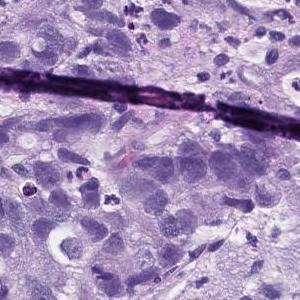
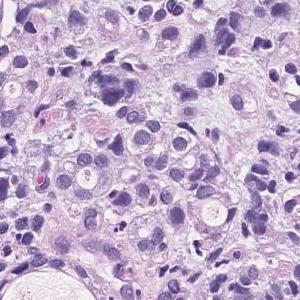
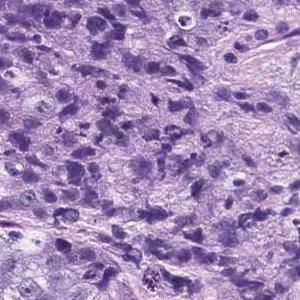
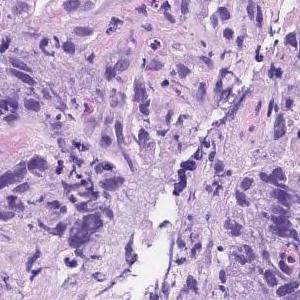
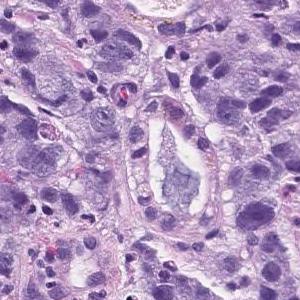
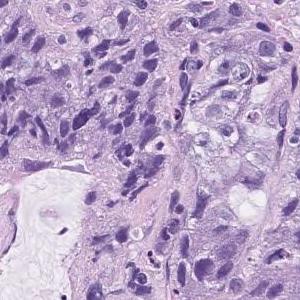
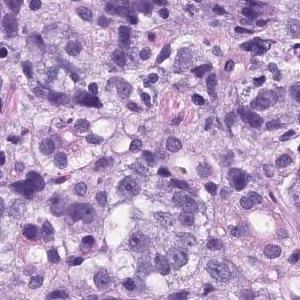
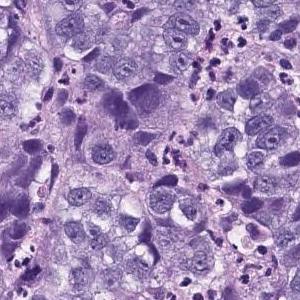
H&E stain · 8 tiles from the same stomach biopsy slide · 300×300 px each.
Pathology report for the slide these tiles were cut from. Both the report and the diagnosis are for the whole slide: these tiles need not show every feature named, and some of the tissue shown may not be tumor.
Atypical l cells with atypical nuclei forming solid vesicles or small irregular atypical ducts that proliferate in a complex manner. poorly differentiated adenocarcinoma, solid type, moderately differentiated tubular adenocarcinoma
The solid type named here is a Japanese Classification of Gastric Carcinoma category; WHO 2019 calls it tubular adenocarcinoma, poorly differentiated.
